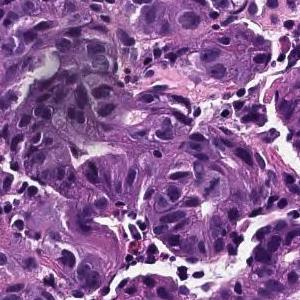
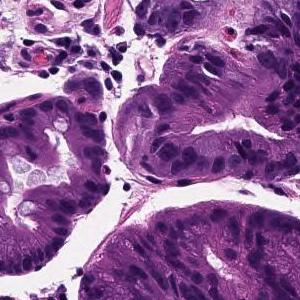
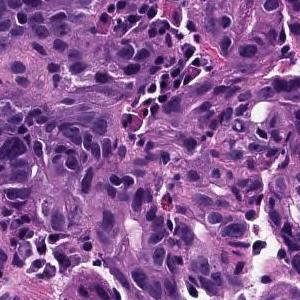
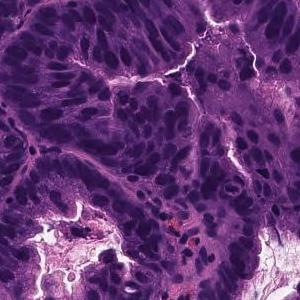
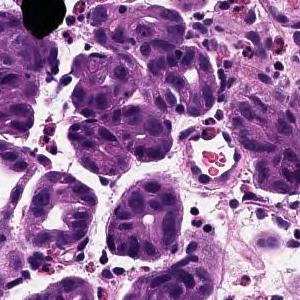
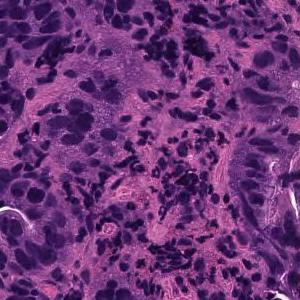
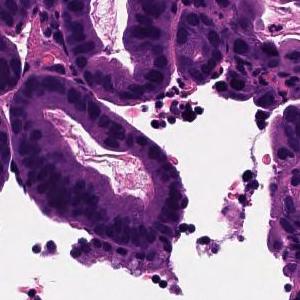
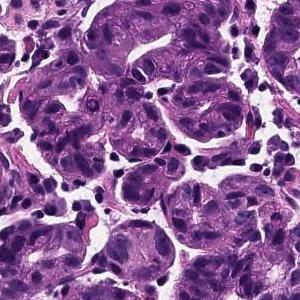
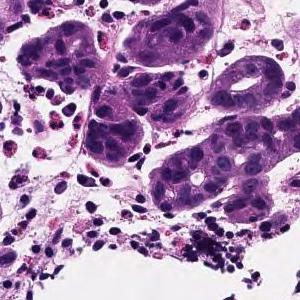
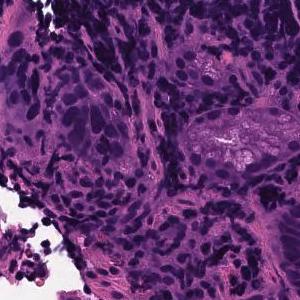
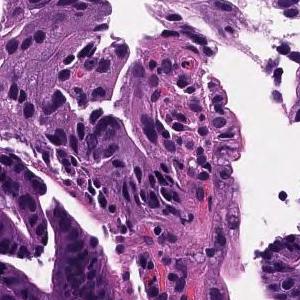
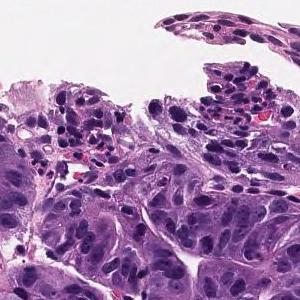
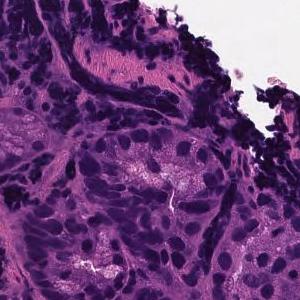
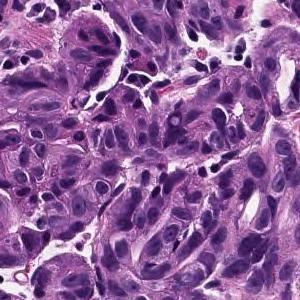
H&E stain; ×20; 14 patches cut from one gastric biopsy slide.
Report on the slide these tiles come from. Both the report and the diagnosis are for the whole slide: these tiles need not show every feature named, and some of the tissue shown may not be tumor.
On the superficial epithelium, tumor tissue consisting of large irregular glandular ducts partially fused and infiltrated is observed. Well to moderately differentiated tubular adenocarcinoma (well differentiated tubular adenocarcinoma, moderately differentiated tubular adenocarcinoma)
Classified as well to moderately differentiated tubular adenocarcinoma.
